H&E · 20× magnification · 16 tiles from the same stomach biopsy slide.
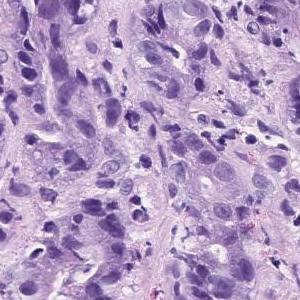
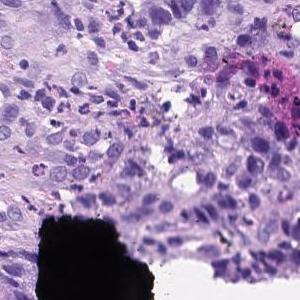
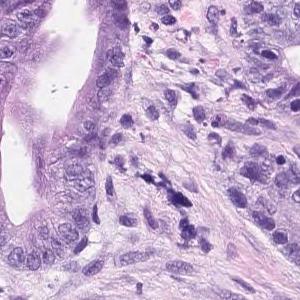
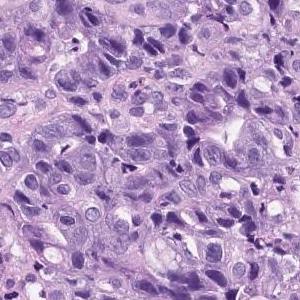
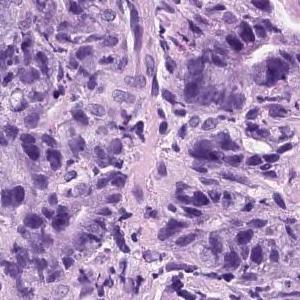
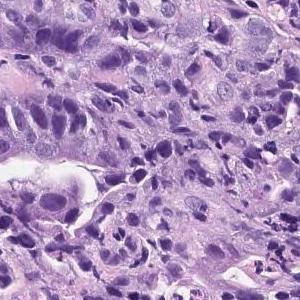
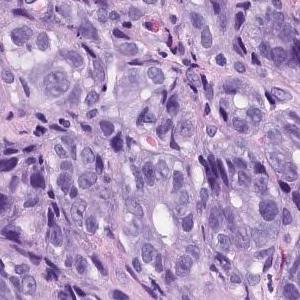
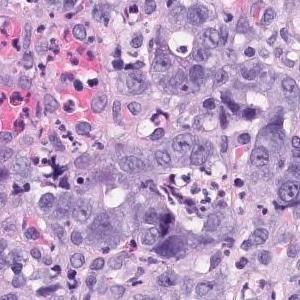
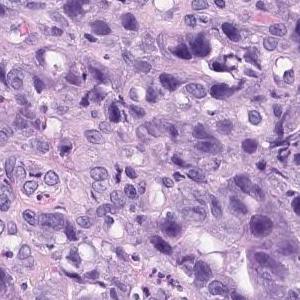
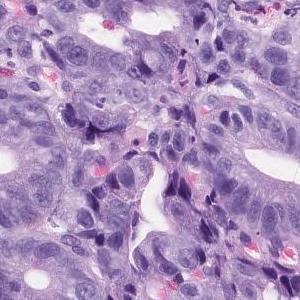
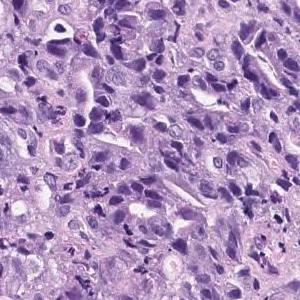
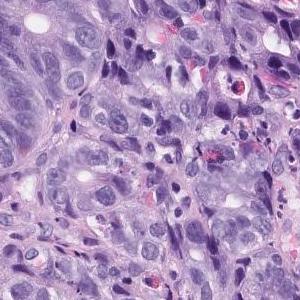
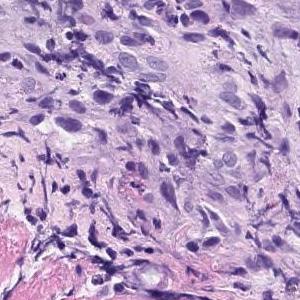
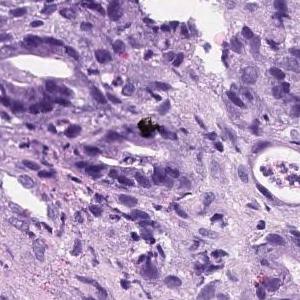
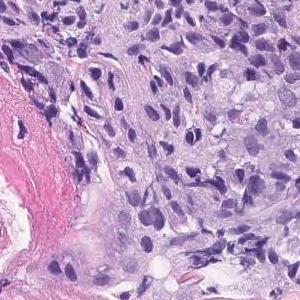
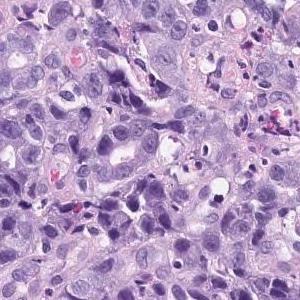
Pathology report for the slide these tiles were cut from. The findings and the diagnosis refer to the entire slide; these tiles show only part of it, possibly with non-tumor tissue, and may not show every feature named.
In the superficial epithelium, tumor tissue that invades by forming medium-sized to small, irregular ducts is observed. Moderately differentiated adenocarcinoma.
Histologic type: Moderately differentiated tubular adenocarcinoma.
